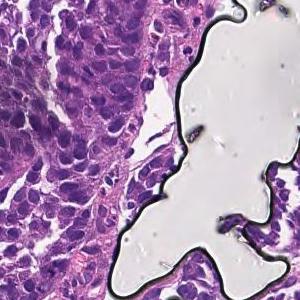
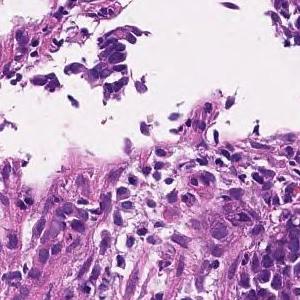
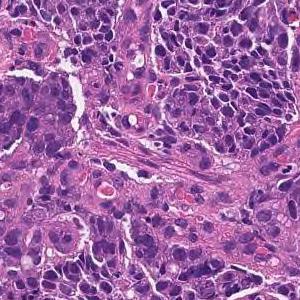
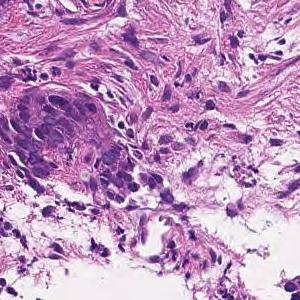
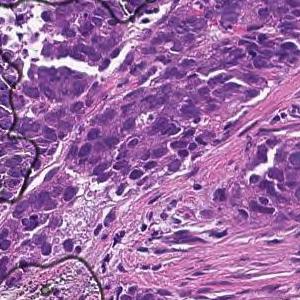
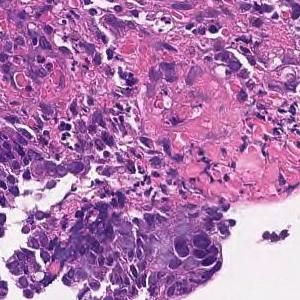
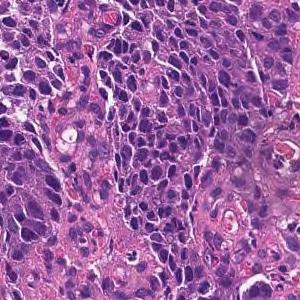
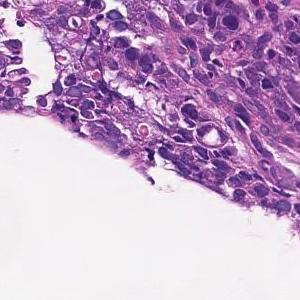
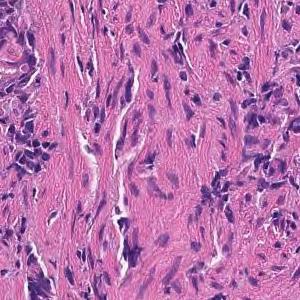
9 image tiles from a single gastric biopsy slide; 300 × 300 pixels each; scanned at ×20; H&E.
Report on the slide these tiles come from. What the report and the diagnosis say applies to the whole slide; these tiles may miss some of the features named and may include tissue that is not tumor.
Tumor tissue consisting of cord-like or small, irregular glandular ducts fused and infiltrated is observed in the superficial epithelium. Poorly differentiated adenocarcinoma, non-solid type
"Non-solid type" is a category of the Japanese Classification of Gastric Carcinoma.
